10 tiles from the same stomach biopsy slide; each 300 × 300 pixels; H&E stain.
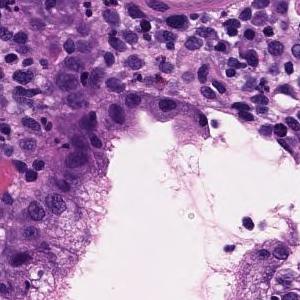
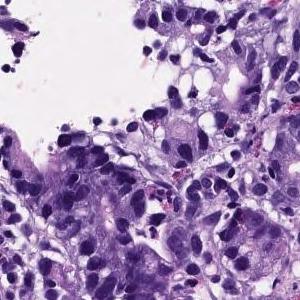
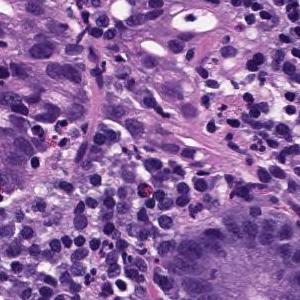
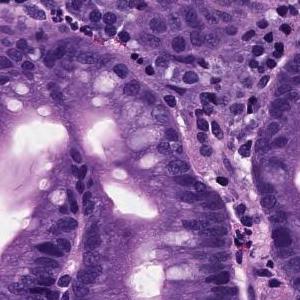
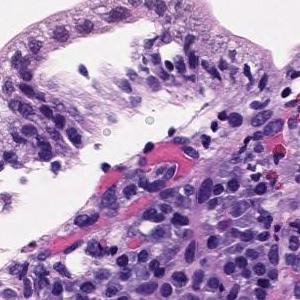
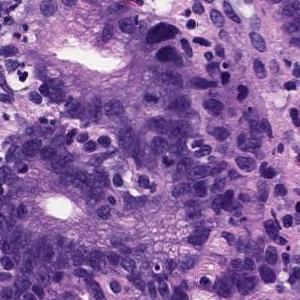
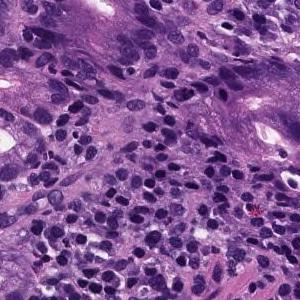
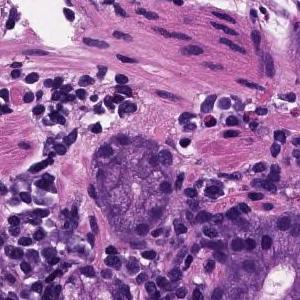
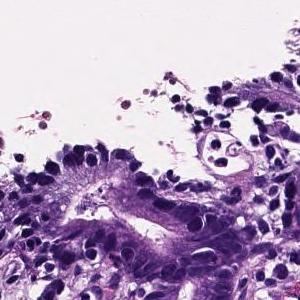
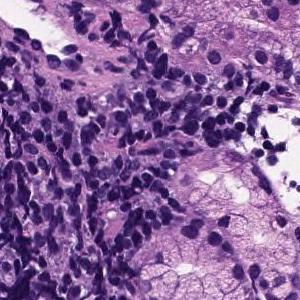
Pathology report for the biopsy slide these tiles were cut from. The report and the diagnosis describe the slide as a whole, so these tiles may not show every feature named and may include non-tumor tissue.
Medium to small, irregular glandular ducts are formed in the superficial epithelium, and in some cases, the glandular ducts are fused to show solid alveolar lesions and infiltrating tumor tissue is observed. Moderately to poorly differentiated adenocarcinoma.
